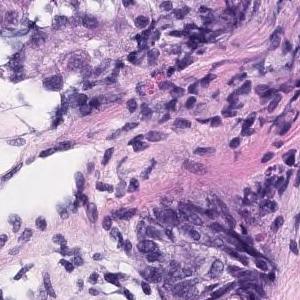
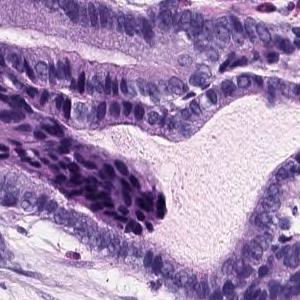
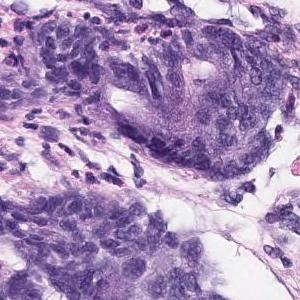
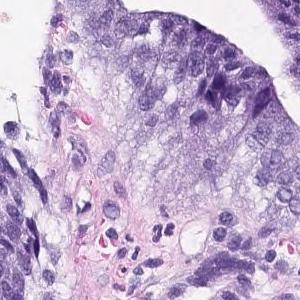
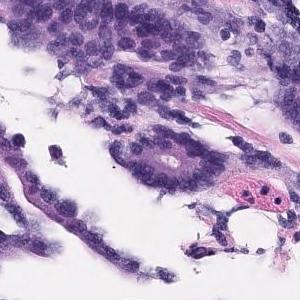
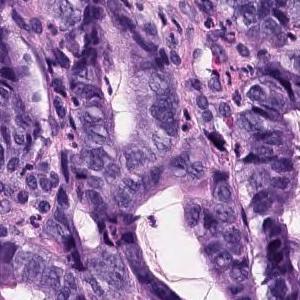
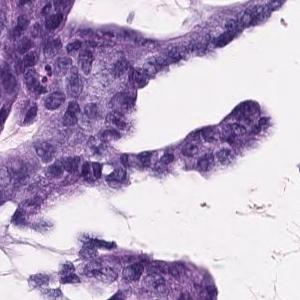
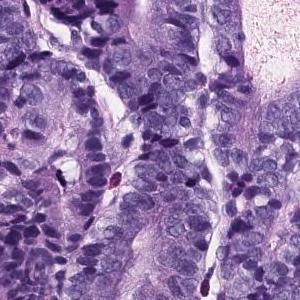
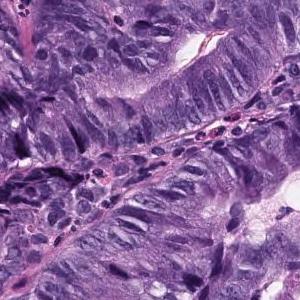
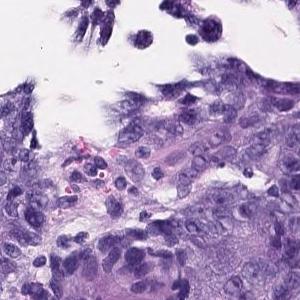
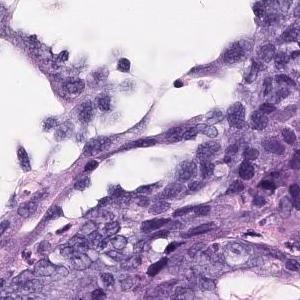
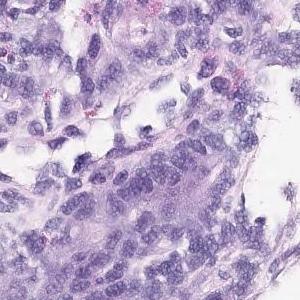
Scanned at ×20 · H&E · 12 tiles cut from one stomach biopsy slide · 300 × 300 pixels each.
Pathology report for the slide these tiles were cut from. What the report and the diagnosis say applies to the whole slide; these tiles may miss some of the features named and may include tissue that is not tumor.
In the superficial epithelium, tumor tissue that invades by forming medium-sized to small, irregular ducts is observed. Well to moderately differentiated tubular adenocarcinoma.
